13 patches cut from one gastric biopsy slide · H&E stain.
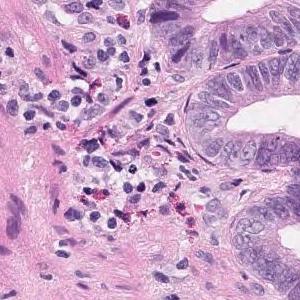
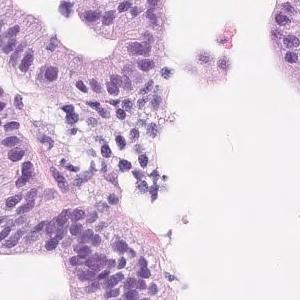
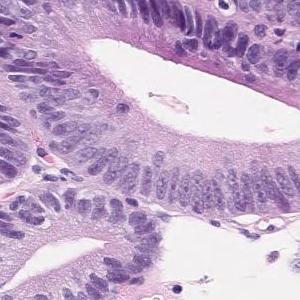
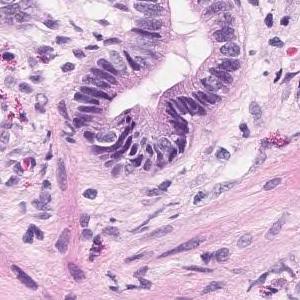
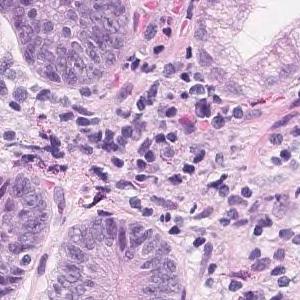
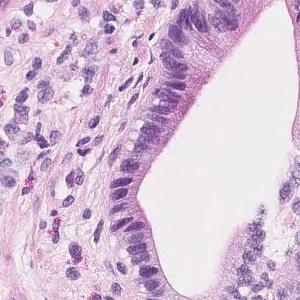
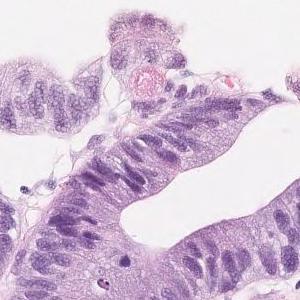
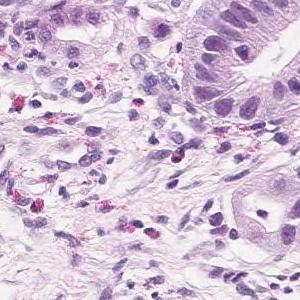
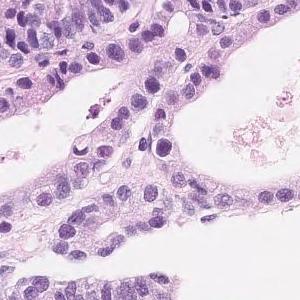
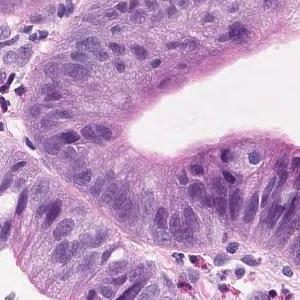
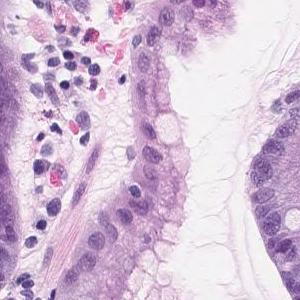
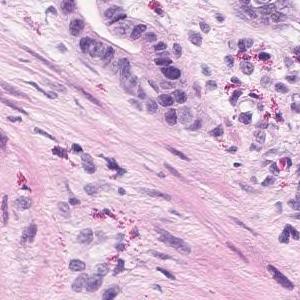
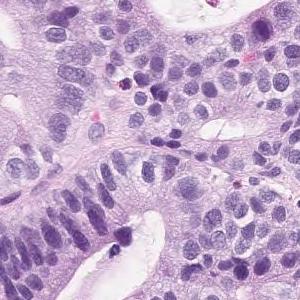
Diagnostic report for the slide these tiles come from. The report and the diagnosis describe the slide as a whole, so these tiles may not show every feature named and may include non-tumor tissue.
Short atypical epithelium with swelling of the nucleus shows proliferating, large and small irregular ductal structures. Well to moderately differentiated tubular adenocarcinoma (well differentiated tubular adenocarcinoma-moderately differentiated tubular adenocarcinoma)
Histologic type: Well to moderately differentiated tubular adenocarcinoma.
